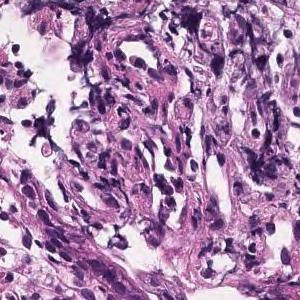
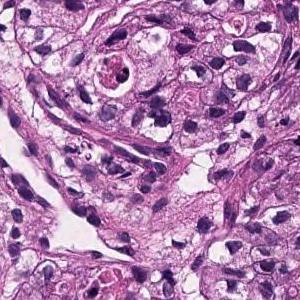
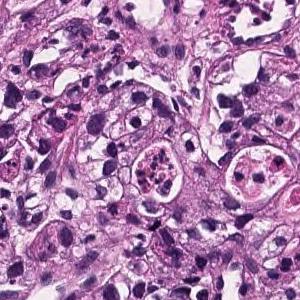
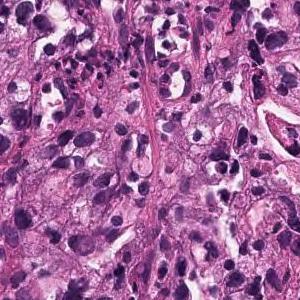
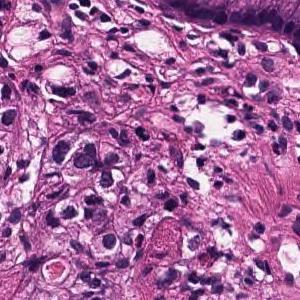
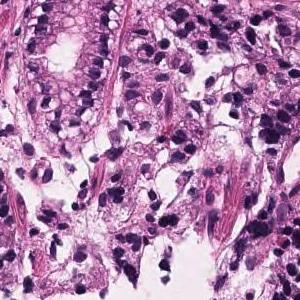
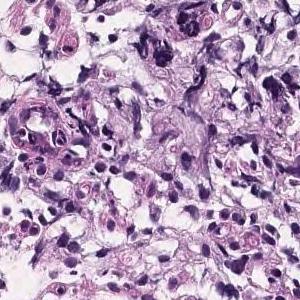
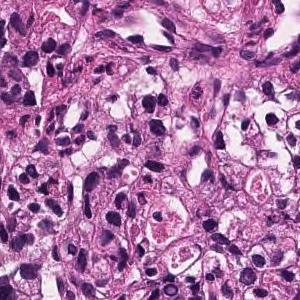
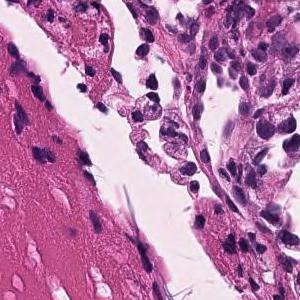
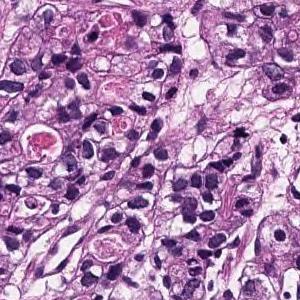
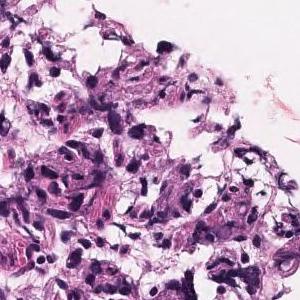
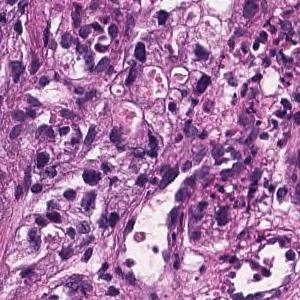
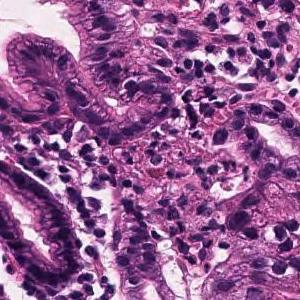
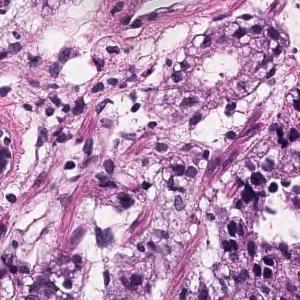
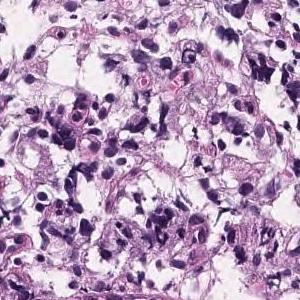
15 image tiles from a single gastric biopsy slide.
Pathology report for the slide these tiles were cut from. The report and the diagnosis cover the entire slide, so not every feature they name need be visible here, and some tissue shown may not be tumor.
Medium to small, irregular glandular ducts are formed in the superficial epithelium, and in some cases, the glandular ducts are fused to show solid alveolar lesions and infiltrating tumor tissue is observed. Moderately to poorly differentiated adenocarcinoma.
